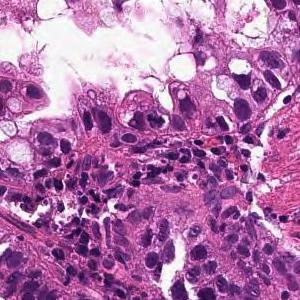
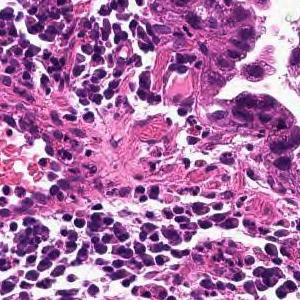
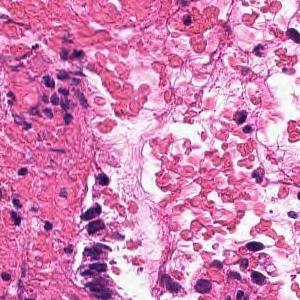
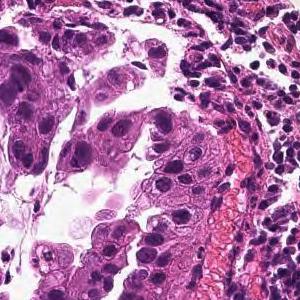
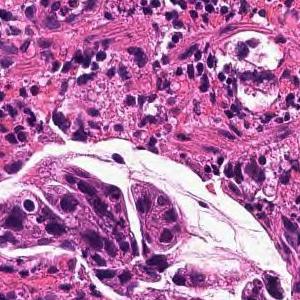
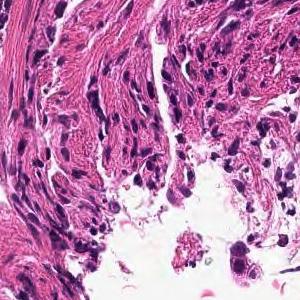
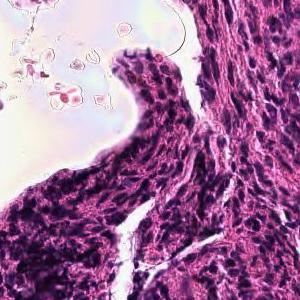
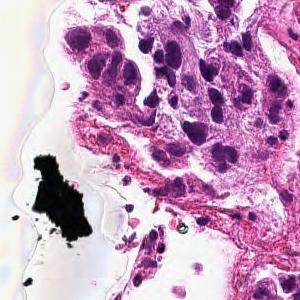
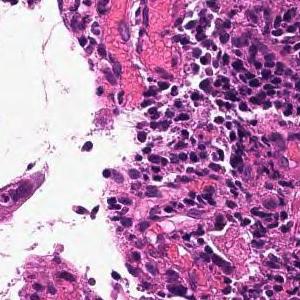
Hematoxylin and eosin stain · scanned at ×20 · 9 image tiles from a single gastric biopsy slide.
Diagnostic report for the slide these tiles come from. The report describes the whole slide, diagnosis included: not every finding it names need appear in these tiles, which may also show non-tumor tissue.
From the superficial epithelium to the muscularis mucosae, tumor tissue infiltrating by forming medium-sized irregular gland ducts is observed. Well differentiated tubular adenocarcinoma
